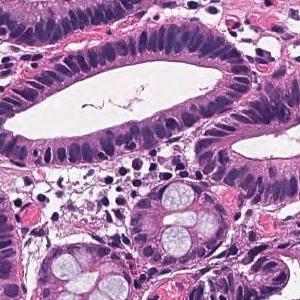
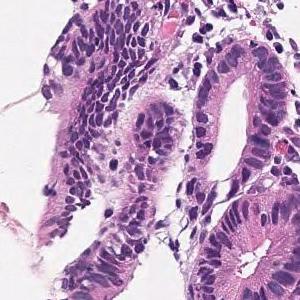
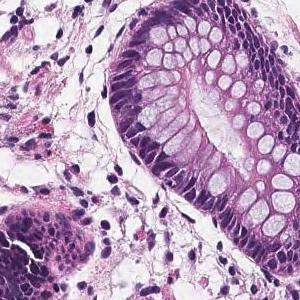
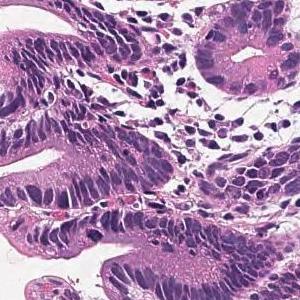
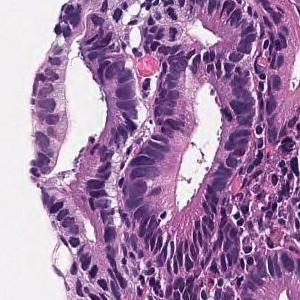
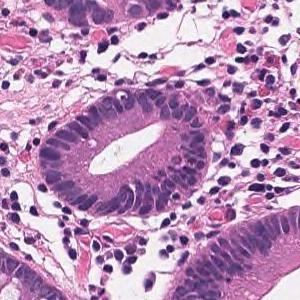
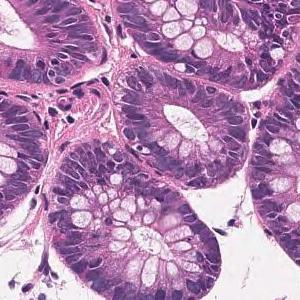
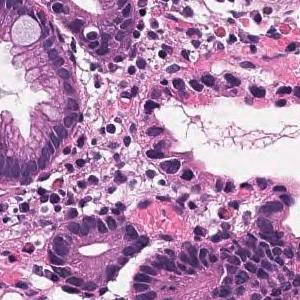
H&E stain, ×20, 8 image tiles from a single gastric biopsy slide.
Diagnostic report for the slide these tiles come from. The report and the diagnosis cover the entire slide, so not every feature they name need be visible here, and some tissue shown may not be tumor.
Tumor tissue in which medium to small irregular ducts infiltrate and proliferate in the submucosa can be seen in the epithelium. Well differentiated tubular adenocarcinoma
